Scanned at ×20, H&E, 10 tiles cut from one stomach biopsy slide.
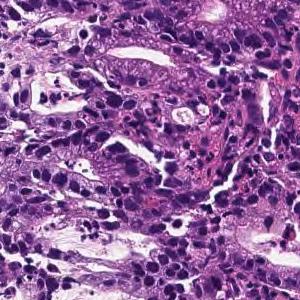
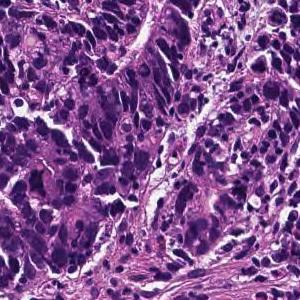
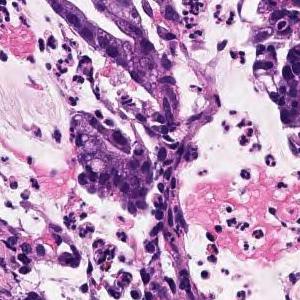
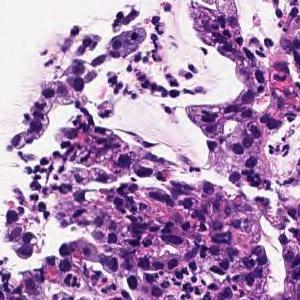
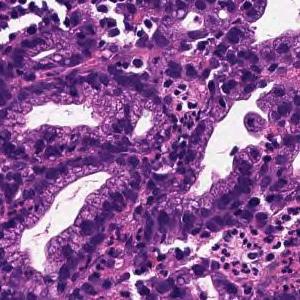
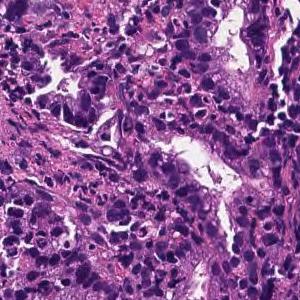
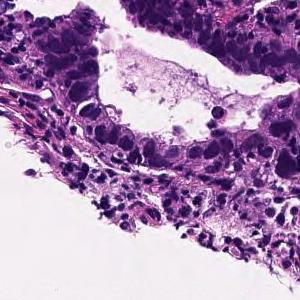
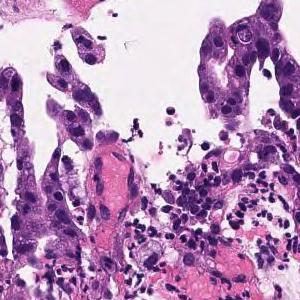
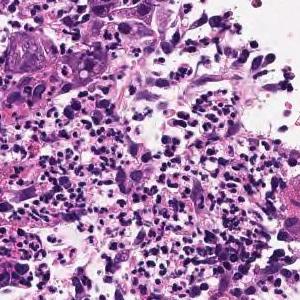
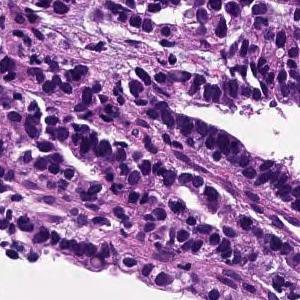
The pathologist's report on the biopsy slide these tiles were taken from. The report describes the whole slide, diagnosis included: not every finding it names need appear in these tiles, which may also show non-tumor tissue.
On the superficial epithelium, tumor tissue consisting of large, irregular glandular ducts partially fused and infiltrated is observed. Well to moderately differentiated tubular adenocarcinoma (well differentiated tubular adenocarcinoma, moderately differentiated tubular adenocarcinoma)
Histologic type: Well to moderately differentiated tubular adenocarcinoma.
